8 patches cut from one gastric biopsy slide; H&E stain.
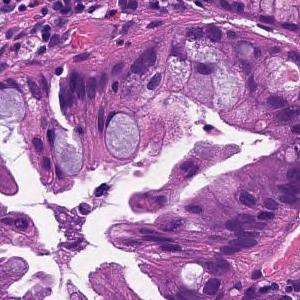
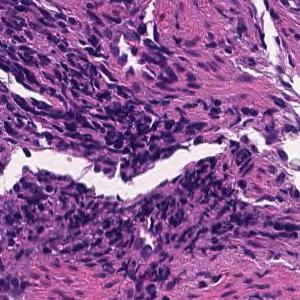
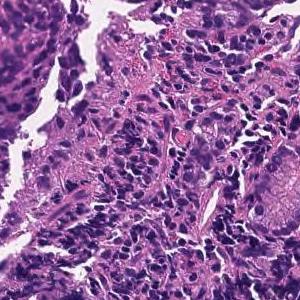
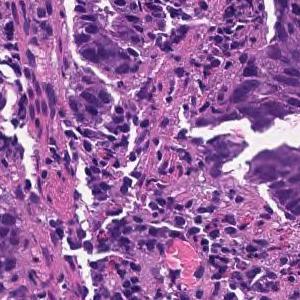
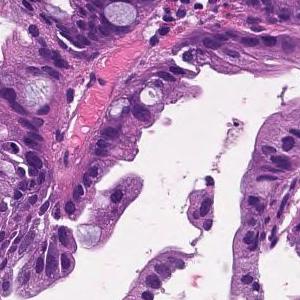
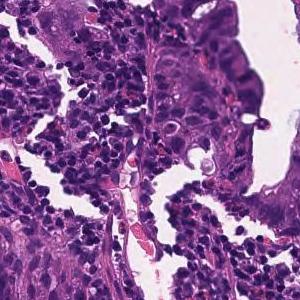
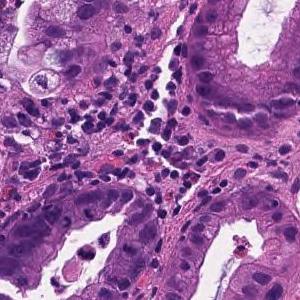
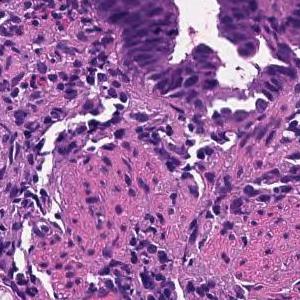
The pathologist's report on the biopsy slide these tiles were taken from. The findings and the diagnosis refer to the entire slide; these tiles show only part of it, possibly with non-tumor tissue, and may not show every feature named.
On the superficial epithelium, tumor tissue that infiltrates by forming medium-sized papillary or small irregular ducts is observed. Papillary adenocarcinoma
